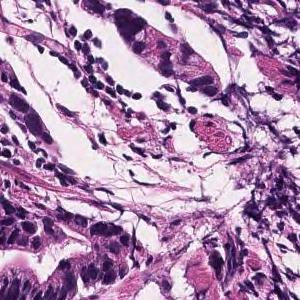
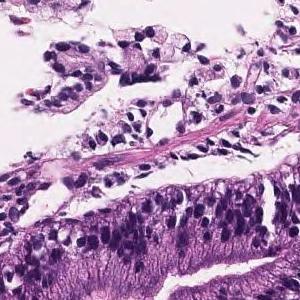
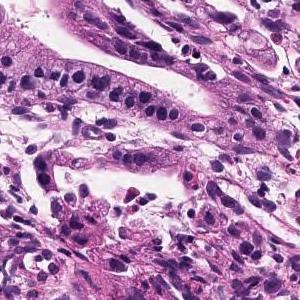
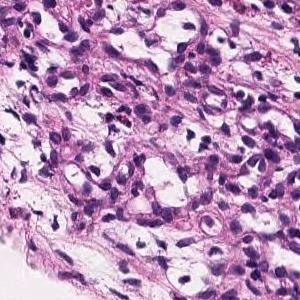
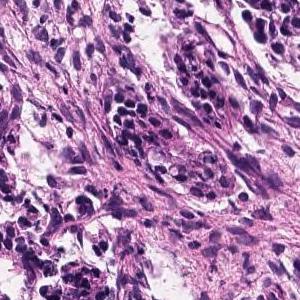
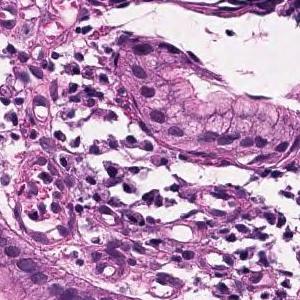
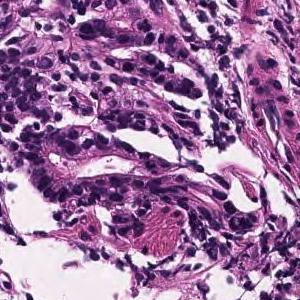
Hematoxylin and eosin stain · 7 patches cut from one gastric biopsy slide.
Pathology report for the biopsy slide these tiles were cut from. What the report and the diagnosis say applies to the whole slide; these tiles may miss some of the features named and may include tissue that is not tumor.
Tumor tissue consisting of large papillary structures or irregular glandular ducts partially fused and infiltrated is observed in the superficial epithelium. Well to moderately differentiated tubular adenocarcinoma.
Labeled in the dataset as moderately differentiated tubular adenocarcinoma.
